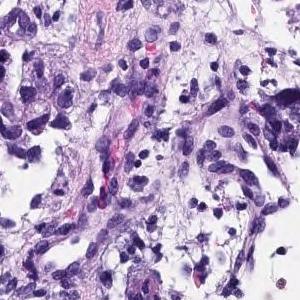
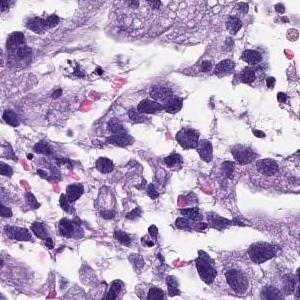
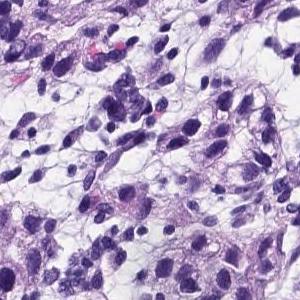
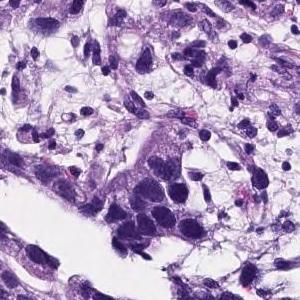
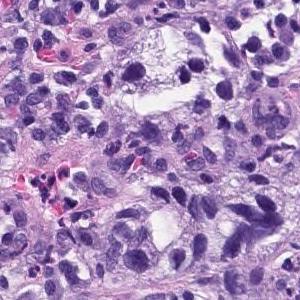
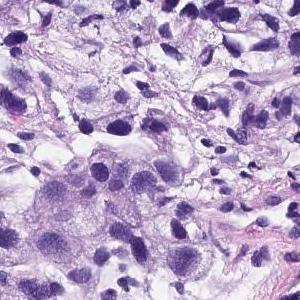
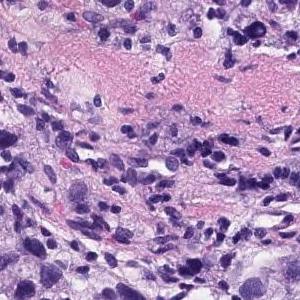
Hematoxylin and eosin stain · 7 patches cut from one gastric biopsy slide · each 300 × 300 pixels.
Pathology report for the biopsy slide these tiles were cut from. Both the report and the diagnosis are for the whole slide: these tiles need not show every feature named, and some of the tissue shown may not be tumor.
Medium to small, irregular glandular ducts are formed in the superficial epithelium, and in some cases, the glandular ducts are fused to show solid alveolar lesions and infiltrating tumor tissue is observed. Poorly differentiated adenocarcinoma, Moderately differentiated adenocarcinoma.
The dataset labels this slide moderately differentiated tubular adenocarcinoma.
